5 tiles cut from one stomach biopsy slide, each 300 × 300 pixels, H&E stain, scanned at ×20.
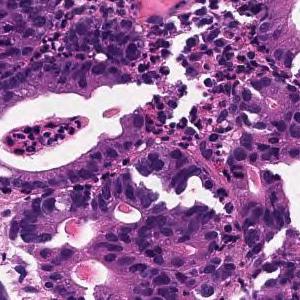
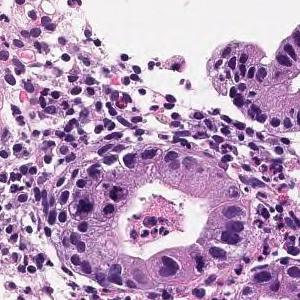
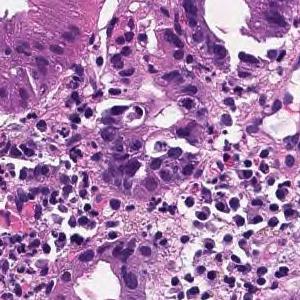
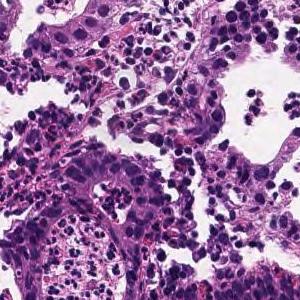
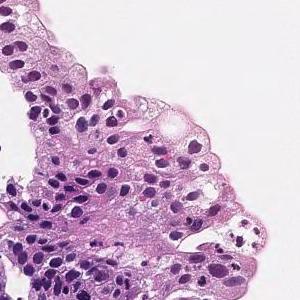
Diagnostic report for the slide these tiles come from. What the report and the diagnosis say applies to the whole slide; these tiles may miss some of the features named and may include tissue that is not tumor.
In the superficial epithelium, tumor tissue that invades by forming medium-sized to small, irregular ducts is observed. moderately differentiated tubular adenocarcinoma.
